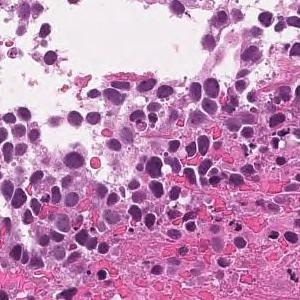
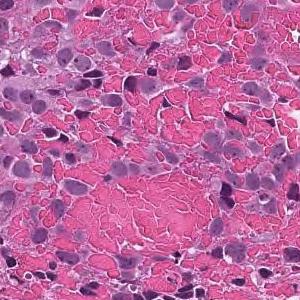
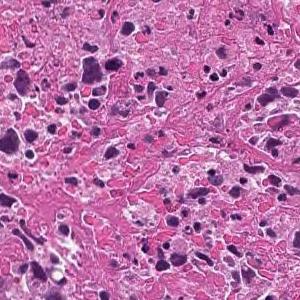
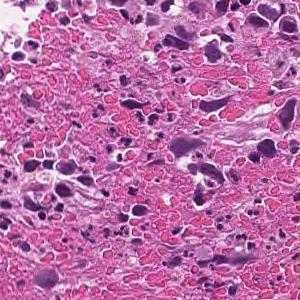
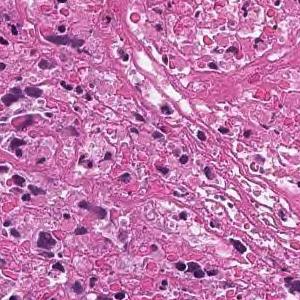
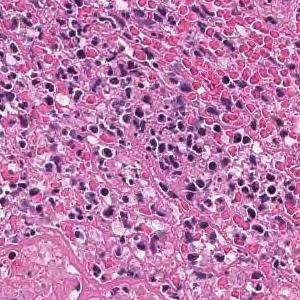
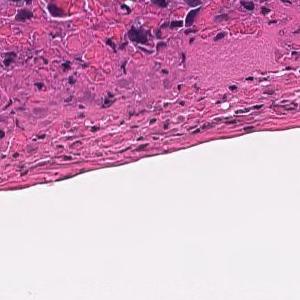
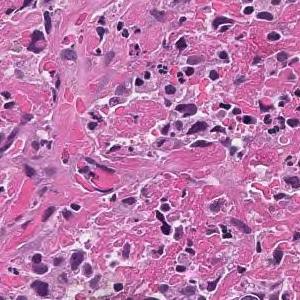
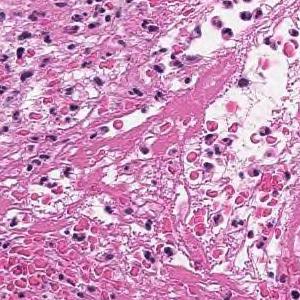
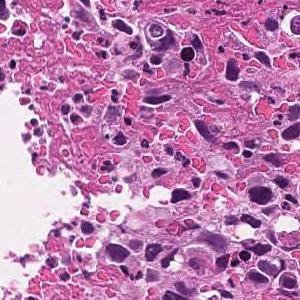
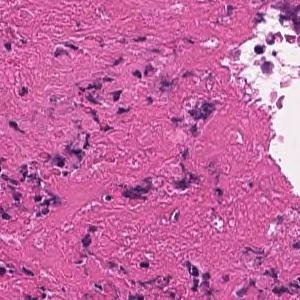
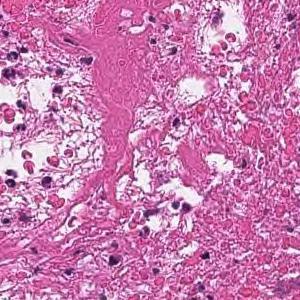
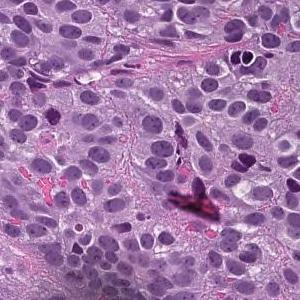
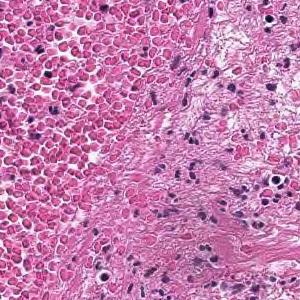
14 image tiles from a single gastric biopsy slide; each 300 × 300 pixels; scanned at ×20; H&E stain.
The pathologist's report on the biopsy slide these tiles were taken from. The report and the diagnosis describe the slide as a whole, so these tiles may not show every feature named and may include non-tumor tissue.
The superficial epithelium shows a large sheet-like shape, and some tumor tissue infiltrates with small irregular ducts. Poorly differentiated adenocarcinoma, solid-type
Histologic type: Poorly differentiated adenocarcinoma, solid type. This name comes from the Japanese Classification of Gastric Carcinoma; the WHO 2019 classification calls it tubular adenocarcinoma, poorly differentiated.
